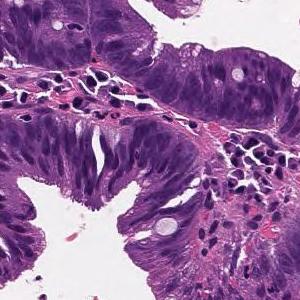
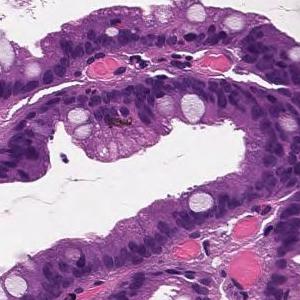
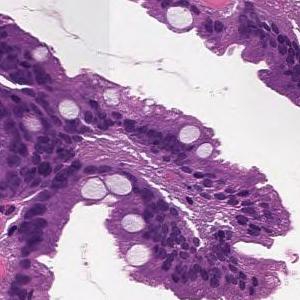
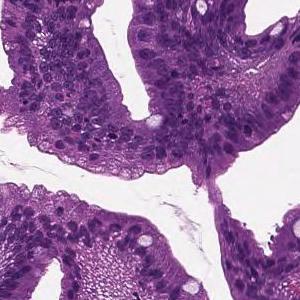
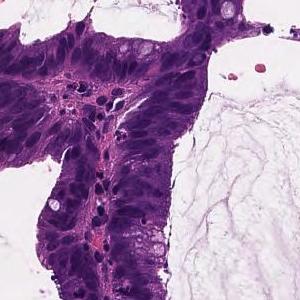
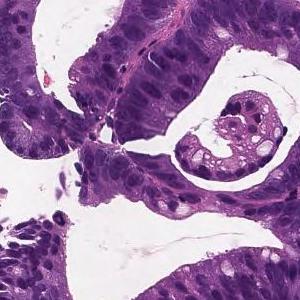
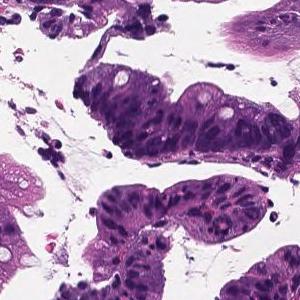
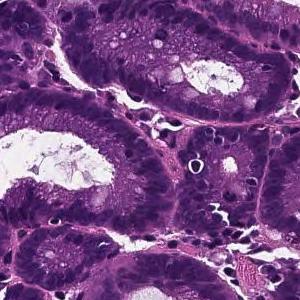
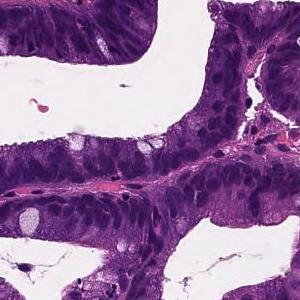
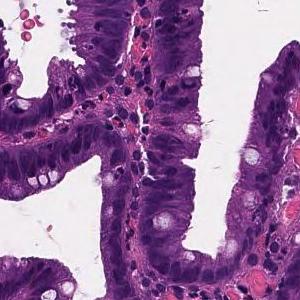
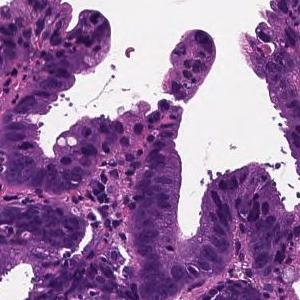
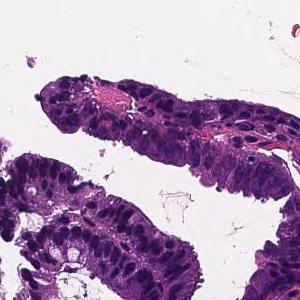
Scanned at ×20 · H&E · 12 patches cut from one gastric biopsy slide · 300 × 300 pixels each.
Report on the slide these tiles come from. The report describes the whole slide, diagnosis included: not every finding it names need appear in these tiles, which may also show non-tumor tissue.
moderately differentiated tubular adenocarcinoma infiltrates in the submucosa massively.
Histologic type: Moderately differentiated tubular adenocarcinoma.
